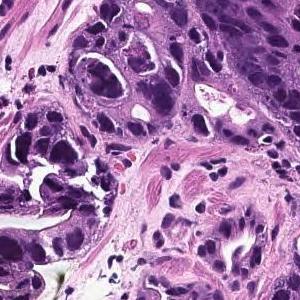
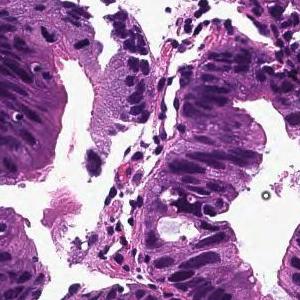
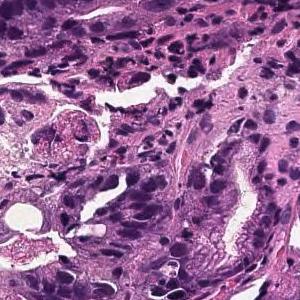
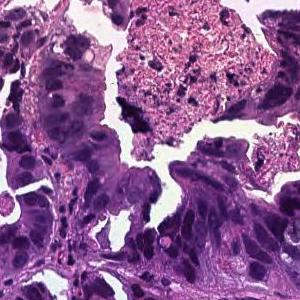
H&E stain; 4 image tiles from a single gastric biopsy slide.
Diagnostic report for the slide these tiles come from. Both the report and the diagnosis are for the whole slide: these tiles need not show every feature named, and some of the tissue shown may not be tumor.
In the superficial epithelium, tumor tissue that invades by forming medium-sized to small, irregular ducts is observed. moderately differentiated tubular adenocarcinoma.
